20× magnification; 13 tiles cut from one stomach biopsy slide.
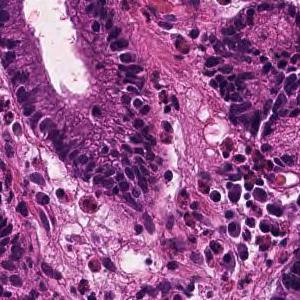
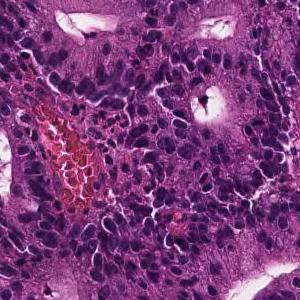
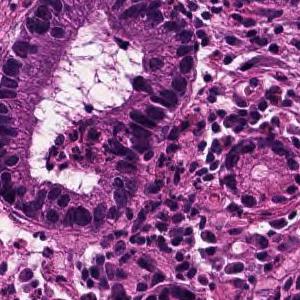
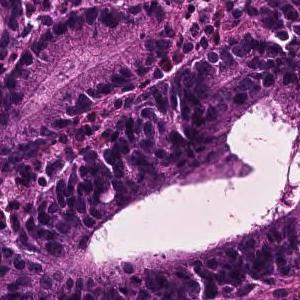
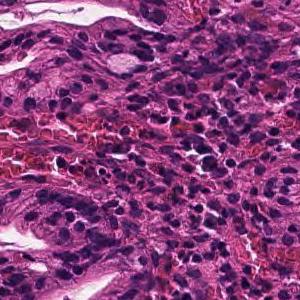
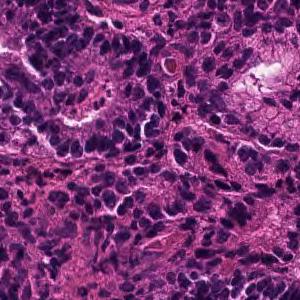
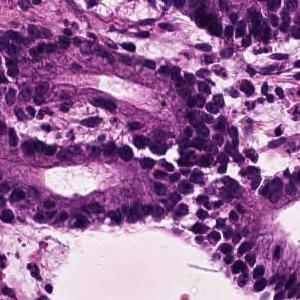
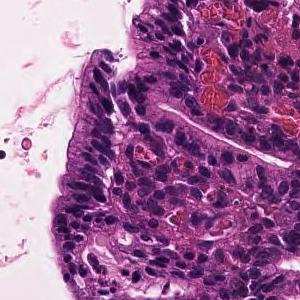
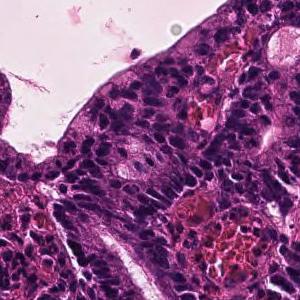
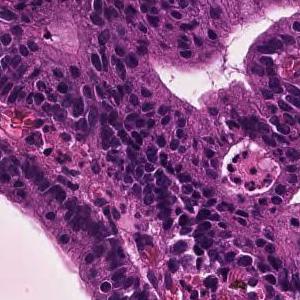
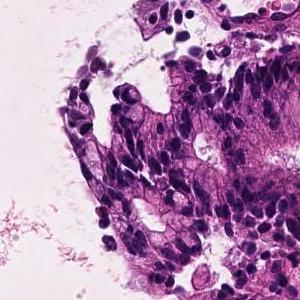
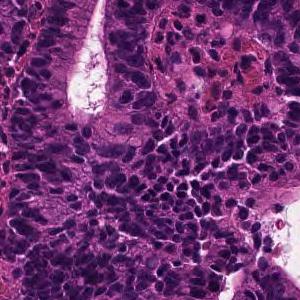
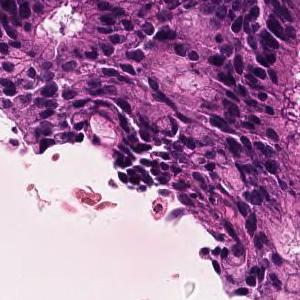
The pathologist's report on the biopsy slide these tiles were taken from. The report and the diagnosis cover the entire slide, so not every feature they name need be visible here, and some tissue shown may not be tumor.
In the superficial epithelium, tumor tissue that invades by forming medium-sized to small, irregular ducts is observed. moderately differentiated tubular adenocarcinoma.
